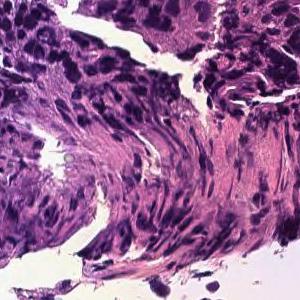
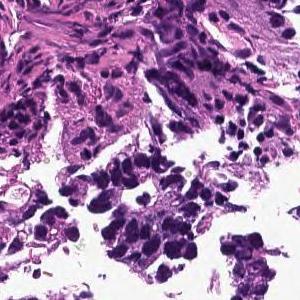
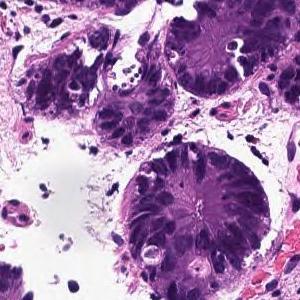
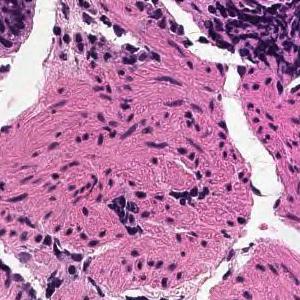
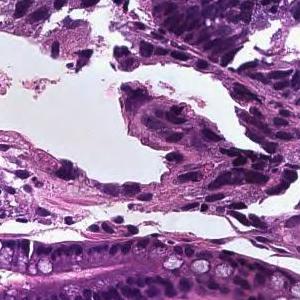
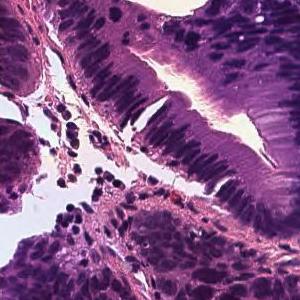
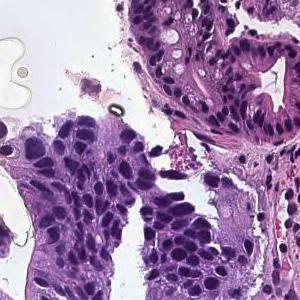
Scanned at ×20 · hematoxylin and eosin stain · 7 patches cut from one gastric biopsy slide · 300×300 px each.
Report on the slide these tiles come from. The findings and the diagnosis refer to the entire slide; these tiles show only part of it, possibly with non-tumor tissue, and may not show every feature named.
In the superficial epithelium, tumor tissue that invades by forming medium-sized to small, irregular ducts is observed. moderately differentiated tubular adenocarcinoma.
